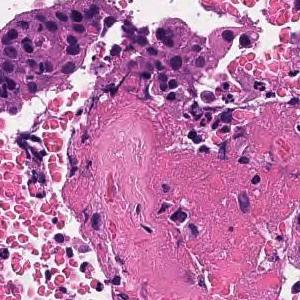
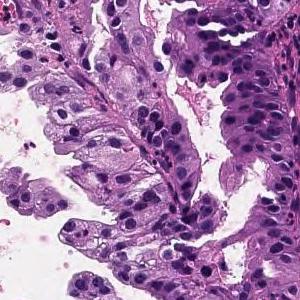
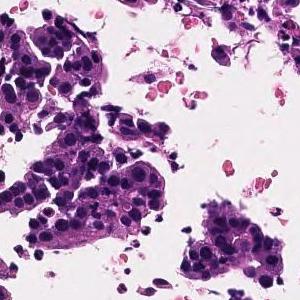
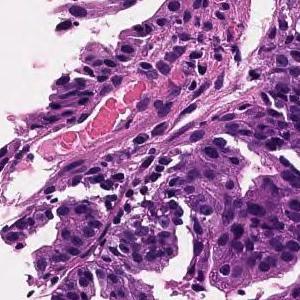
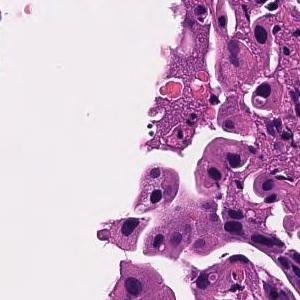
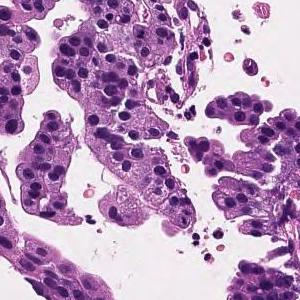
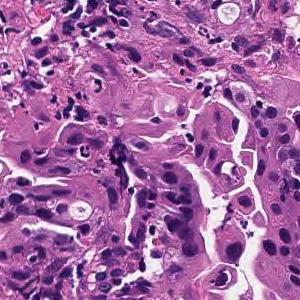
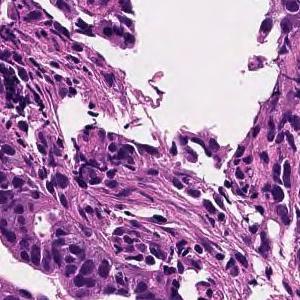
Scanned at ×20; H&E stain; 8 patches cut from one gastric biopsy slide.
Report on the slide these tiles come from. The report and the diagnosis describe the slide as a whole, so these tiles may not show every feature named and may include non-tumor tissue.
On the superficial epithelium, tumor tissue consisting of large, irregular glandular ducts partially fused and infiltrated is observed. Well to moderately differentiated tubular adenocarcinoma (well differentiated tubular adenocarcinoma, moderately differentiated tubular adenocarcinoma)
Classified as well to moderately differentiated tubular adenocarcinoma.
